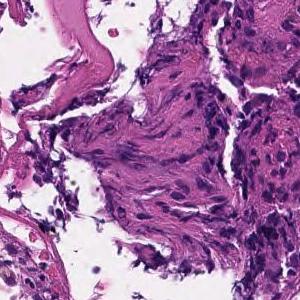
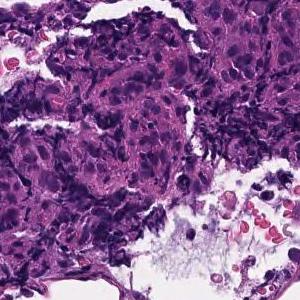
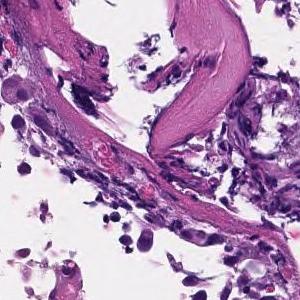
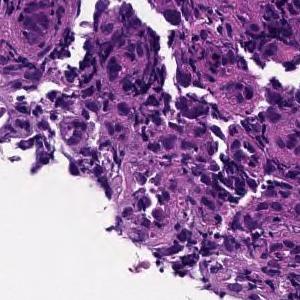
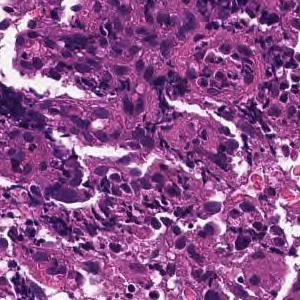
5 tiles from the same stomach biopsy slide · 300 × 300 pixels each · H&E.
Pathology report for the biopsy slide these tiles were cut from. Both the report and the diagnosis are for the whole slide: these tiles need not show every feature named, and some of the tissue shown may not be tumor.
Tumor cells are medium to large, cuboidal, and have little tendency to differentiate. Poorly differentiated adenocarcinoma, solid-type  or moderately differentiated tubular adenocarcinoma
The dataset labels this slide poorly differentiated adenocarcinoma, solid type. This name comes from the Japanese Classification of Gastric Carcinoma; the WHO 2019 classification calls it tubular adenocarcinoma, poorly differentiated.
